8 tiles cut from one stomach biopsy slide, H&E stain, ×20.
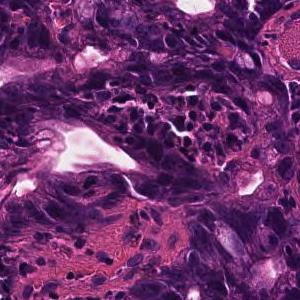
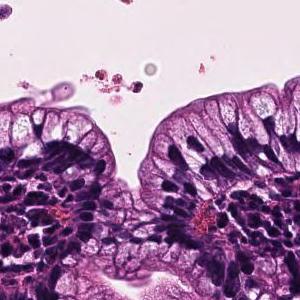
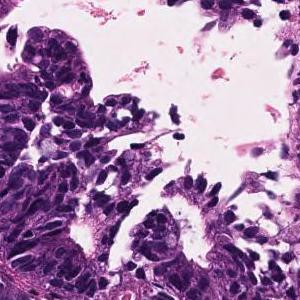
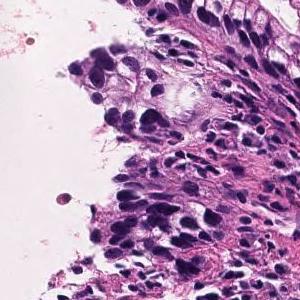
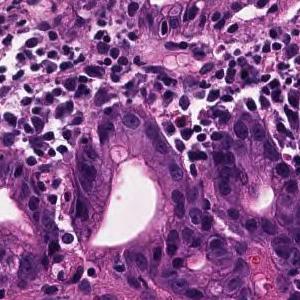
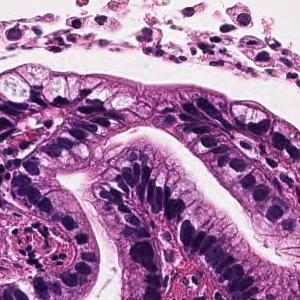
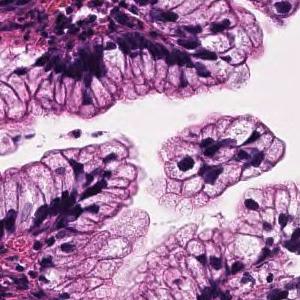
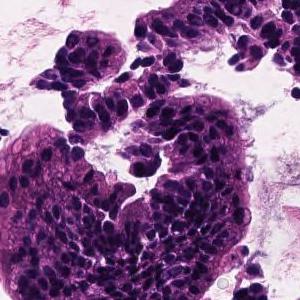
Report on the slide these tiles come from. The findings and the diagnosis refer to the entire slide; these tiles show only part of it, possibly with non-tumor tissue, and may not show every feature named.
Tumor cells are large, highly columnar, large club-shaped nuclei, and are associated with chromatin aggregation. Papillary adenocarcinoma.
